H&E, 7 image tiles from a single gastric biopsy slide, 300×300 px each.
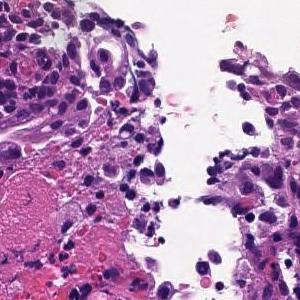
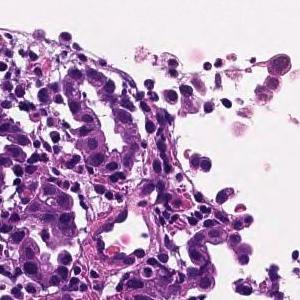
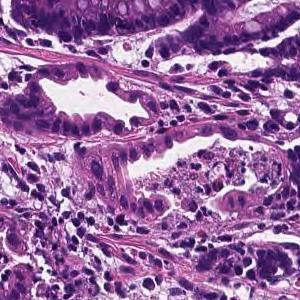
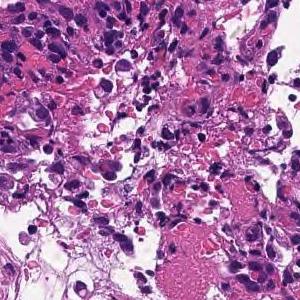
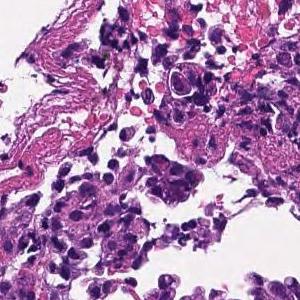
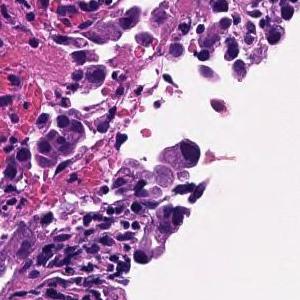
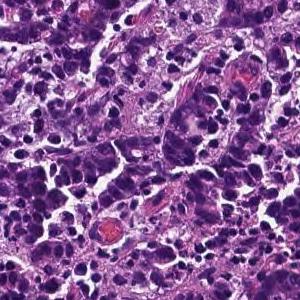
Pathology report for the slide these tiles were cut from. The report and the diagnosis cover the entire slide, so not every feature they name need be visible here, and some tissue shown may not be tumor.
In the superficial epithelium, tumor tissue that invades by forming medium-sized to small, irregular ducts is observed. moderately differentiated tubular adenocarcinoma.
